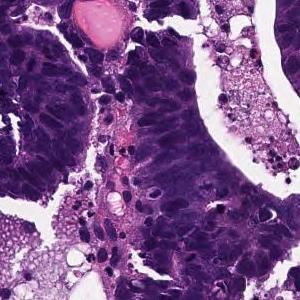
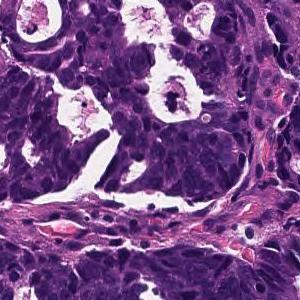
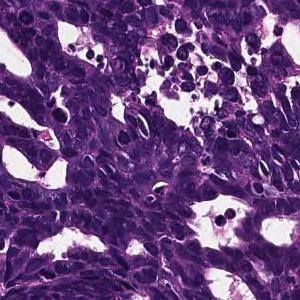
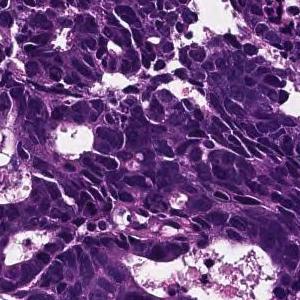
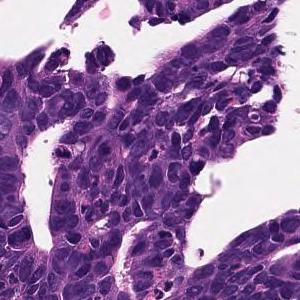
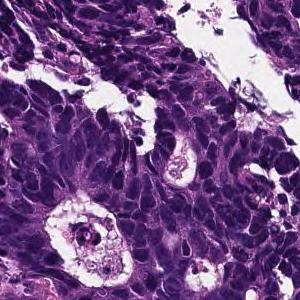
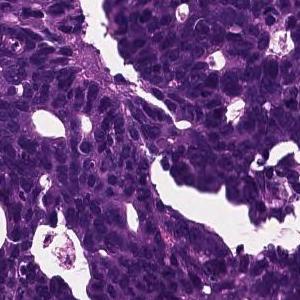
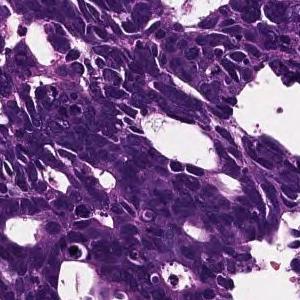
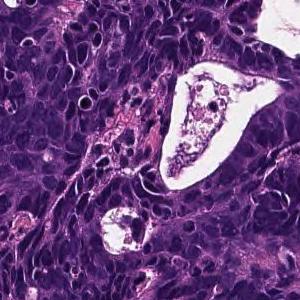
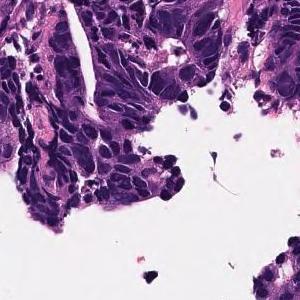
10 tiles from the same stomach biopsy slide, 20× magnification, H&E.
Diagnostic report for the slide these tiles come from. The report describes the whole slide, diagnosis included: not every finding it names need appear in these tiles, which may also show non-tumor tissue.
In the superficial epithelium, tumor tissue that invades by forming medium-sized to small, irregular ducts is observed. moderately differentiated tubular adenocarcinoma.
